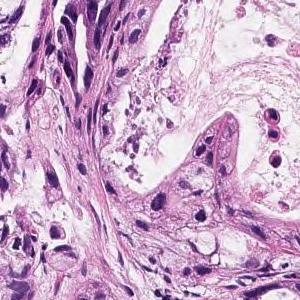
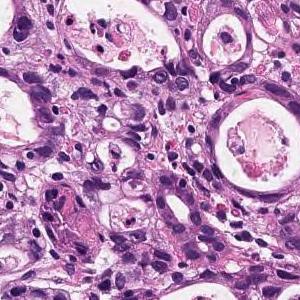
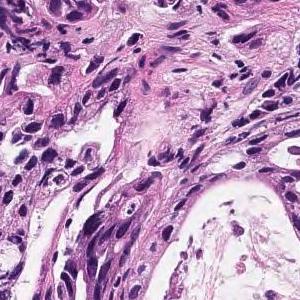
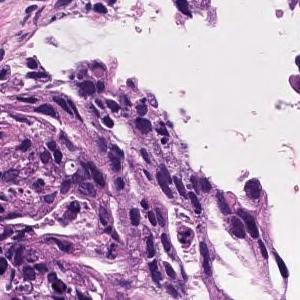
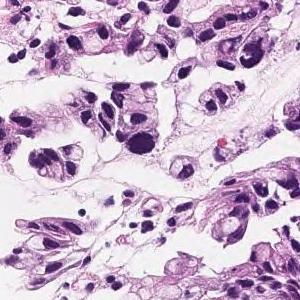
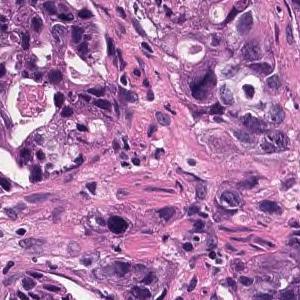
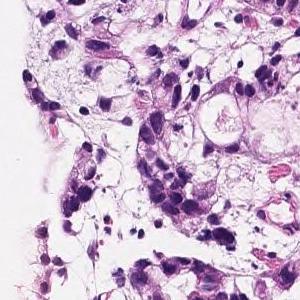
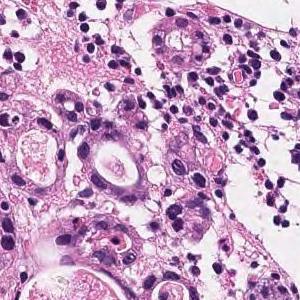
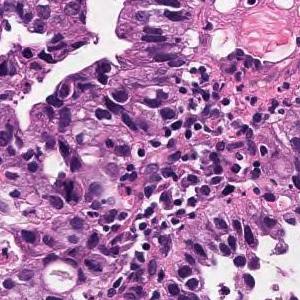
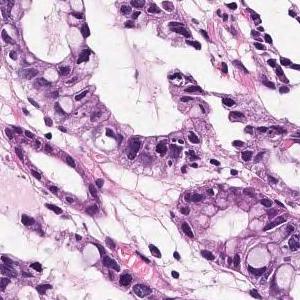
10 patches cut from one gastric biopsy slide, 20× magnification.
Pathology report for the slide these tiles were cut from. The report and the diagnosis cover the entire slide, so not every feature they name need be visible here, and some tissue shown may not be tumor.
In the superficial epithelium, tumor tissue that invades by forming medium-sized to small, irregular ducts is observed. Moderately differentiated adenocarcinoma.
Histological subtype: Moderately differentiated tubular adenocarcinoma.
